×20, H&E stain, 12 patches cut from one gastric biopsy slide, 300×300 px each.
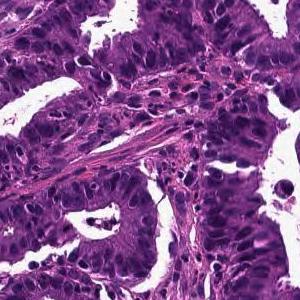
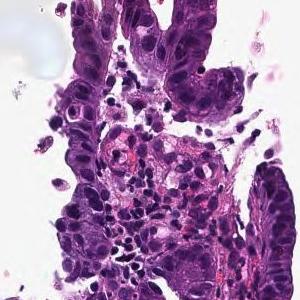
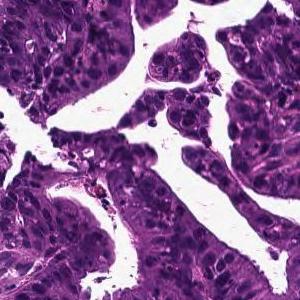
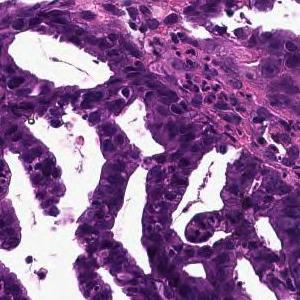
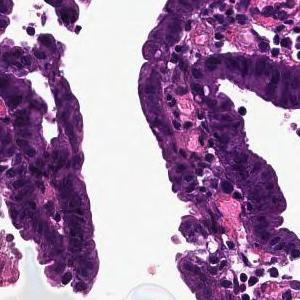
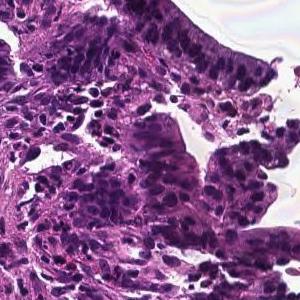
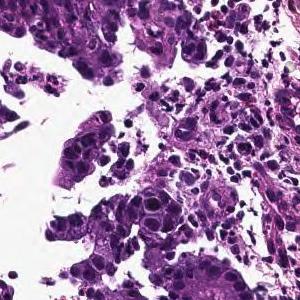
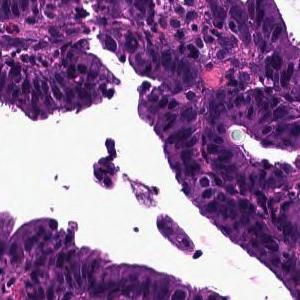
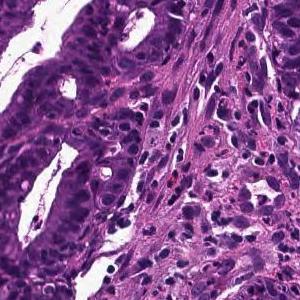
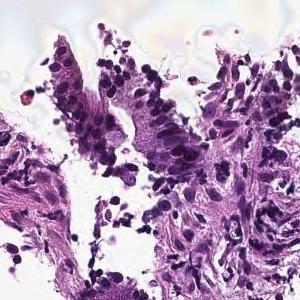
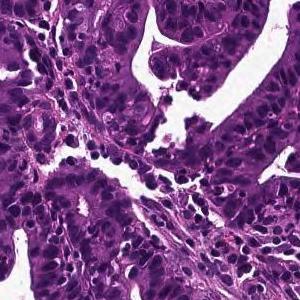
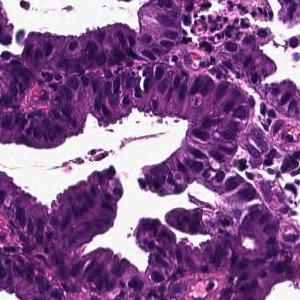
Report on the slide these tiles come from. What the report and the diagnosis say applies to the whole slide; these tiles may miss some of the features named and may include tissue that is not tumor.
Tumor cells are large, highly columnar, large club-shaped nuclei, and are associated with chromatin aggregation. Papillary adenocarcinoma.
